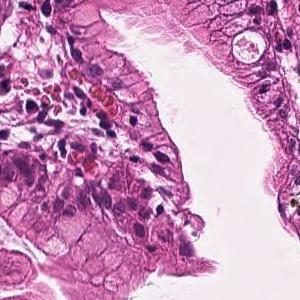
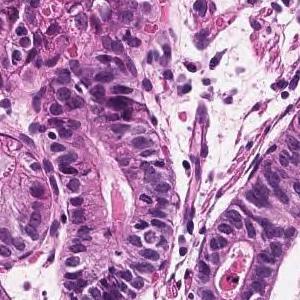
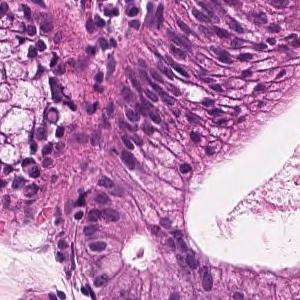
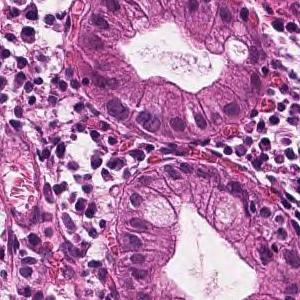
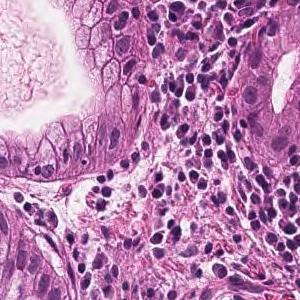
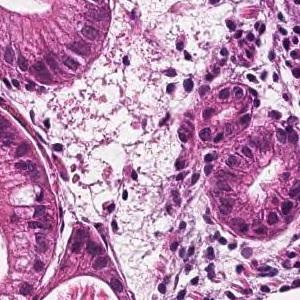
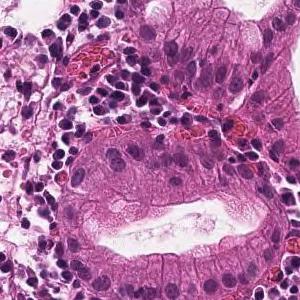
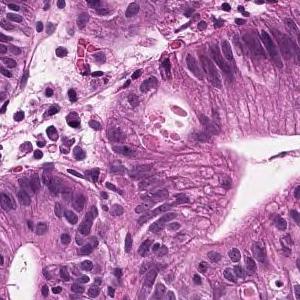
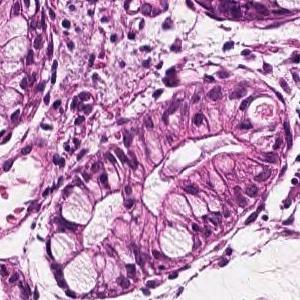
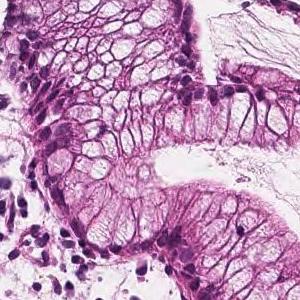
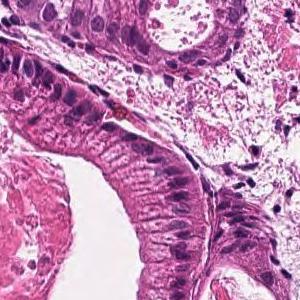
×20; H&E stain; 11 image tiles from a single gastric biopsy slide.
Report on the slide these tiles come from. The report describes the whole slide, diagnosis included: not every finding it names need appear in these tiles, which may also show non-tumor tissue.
In the superficial epithelium, tumor tissue that invades by forming medium-sized to small, irregular ducts is observed. Well differentiated tubular adenocarcinoma.
